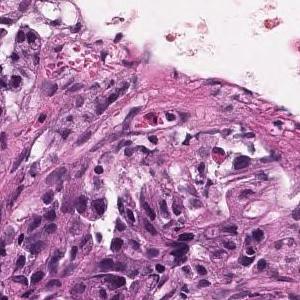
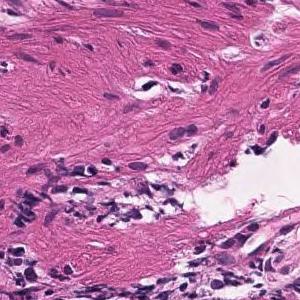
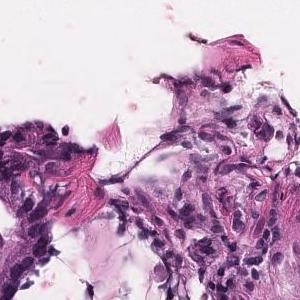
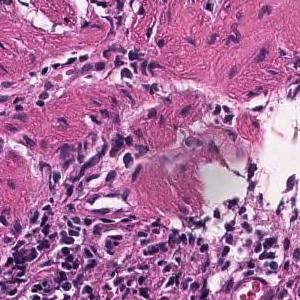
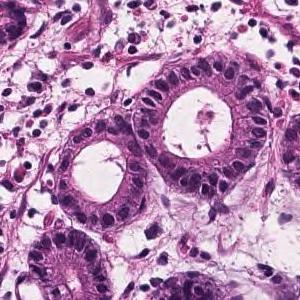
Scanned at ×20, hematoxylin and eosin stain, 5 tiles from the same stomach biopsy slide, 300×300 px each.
Diagnostic report for the slide these tiles come from. Both the report and the diagnosis are for the whole slide: these tiles need not show every feature named, and some of the tissue shown may not be tumor.
Tumor tissue with atypical epithelium showing irregular ductal or sieving ductal structure and proliferating is observed. Well to moderately differentiated tubular adenocarcinoma (well differentiated tubular adenocarcinoma-moderately differentiated tubular adenocarcinoma)
Classified as well to moderately differentiated tubular adenocarcinoma.
